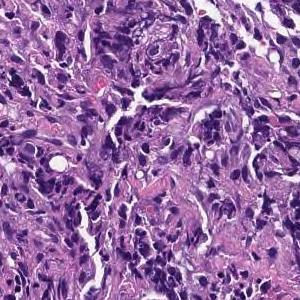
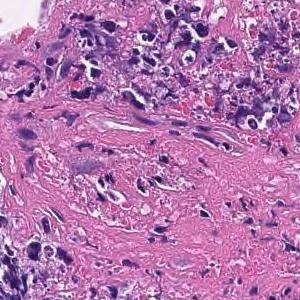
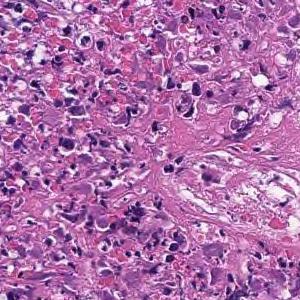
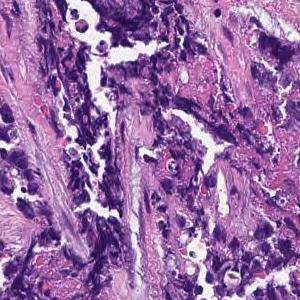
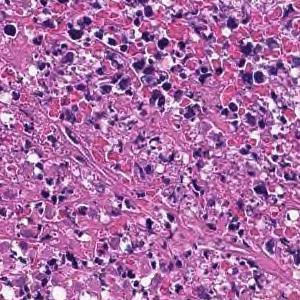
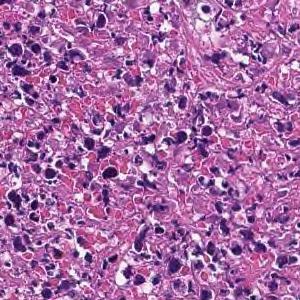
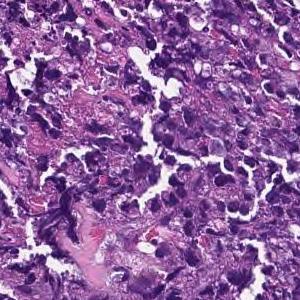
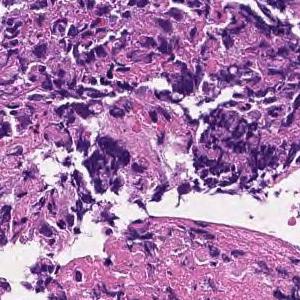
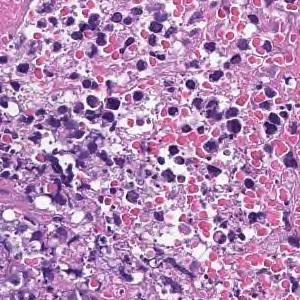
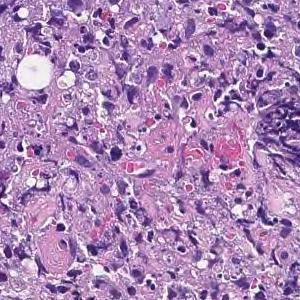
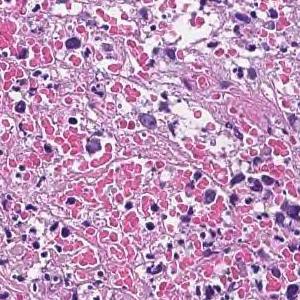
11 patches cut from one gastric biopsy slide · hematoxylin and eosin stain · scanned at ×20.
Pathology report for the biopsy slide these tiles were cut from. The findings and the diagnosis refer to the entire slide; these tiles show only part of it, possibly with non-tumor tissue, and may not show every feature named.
Most are composed of coagulative necrotic tissue, but some show a large sheet-like shape, and some show tumor tissue infiltrating with a small cord-like structure. Poorly differentiated adenocarcinoma, solid-type
Classified as poorly differentiated adenocarcinoma, solid type, a category of the Japanese Classification of Gastric Carcinoma; in the WHO 2019 classification it is tubular adenocarcinoma, poorly differentiated.
